H&E · ×20 · 4 patches cut from one gastric biopsy slide · each 300 × 300 pixels.
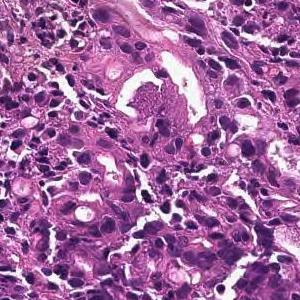
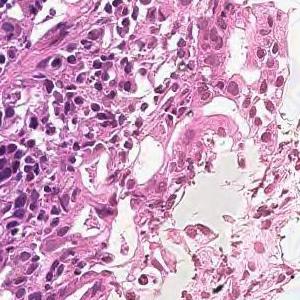
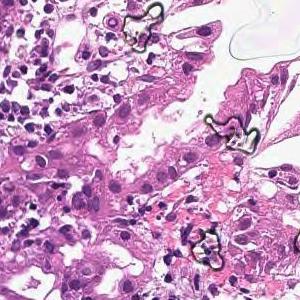
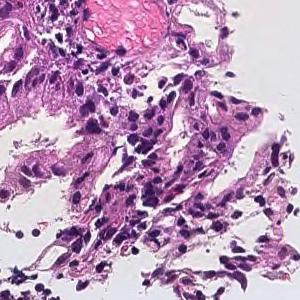
Pathology report for the biopsy slide these tiles were cut from. Both the report and the diagnosis are for the whole slide: these tiles need not show every feature named, and some of the tissue shown may not be tumor.
In the superficial epithelium, tumor tissue that invades by forming medium-sized to small, irregular ducts is observed. moderately differentiated tubular adenocarcinoma.
